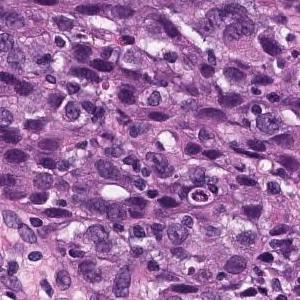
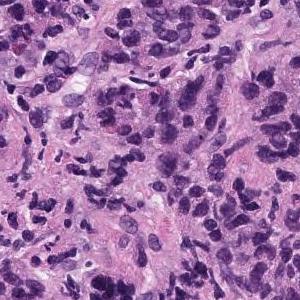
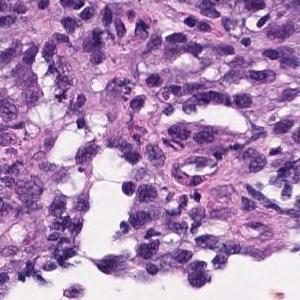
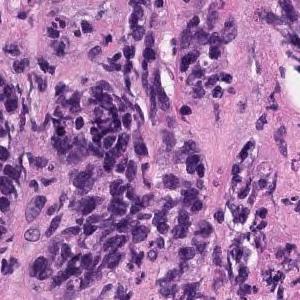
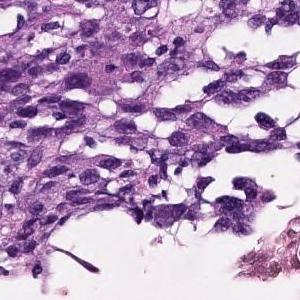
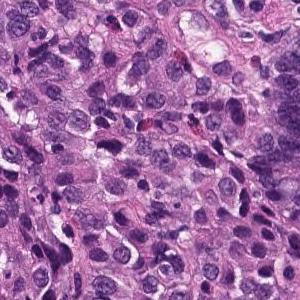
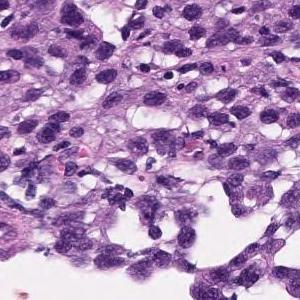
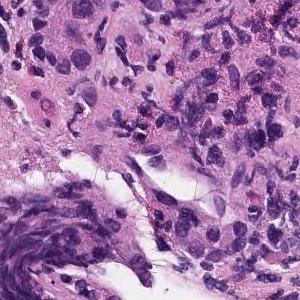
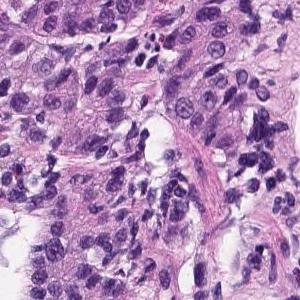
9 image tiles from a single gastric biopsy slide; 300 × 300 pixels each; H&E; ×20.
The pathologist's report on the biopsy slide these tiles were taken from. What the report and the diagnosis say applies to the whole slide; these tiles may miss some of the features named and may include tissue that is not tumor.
In the superficial epithelium, tumor tissue that invades by forming medium-sized to small, irregular ducts is observed. Moderately differentiated adenocarcinoma.
Classified as moderately differentiated tubular adenocarcinoma.
